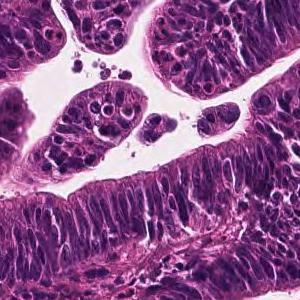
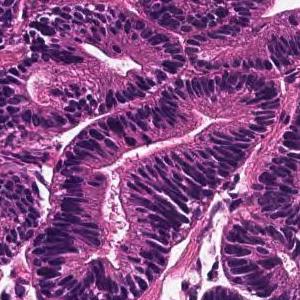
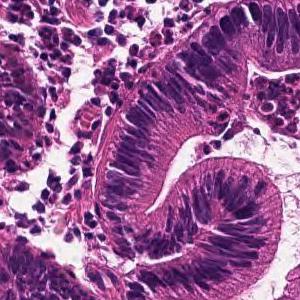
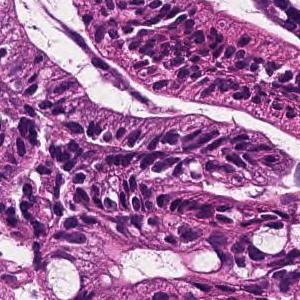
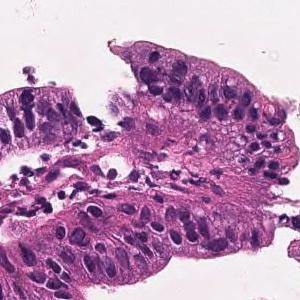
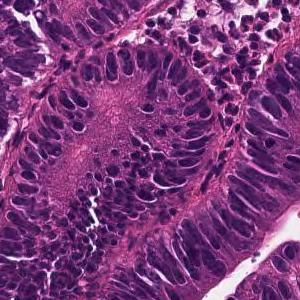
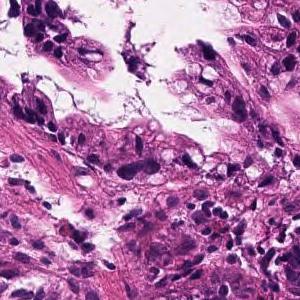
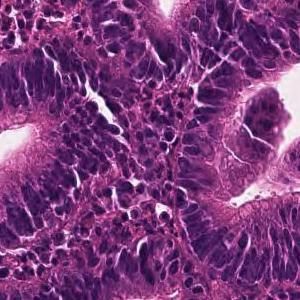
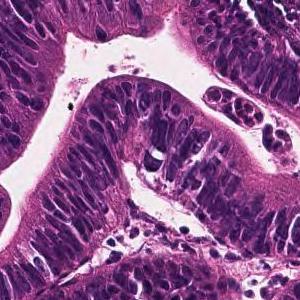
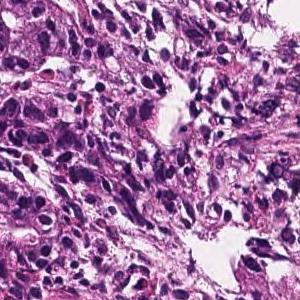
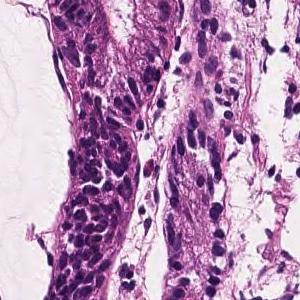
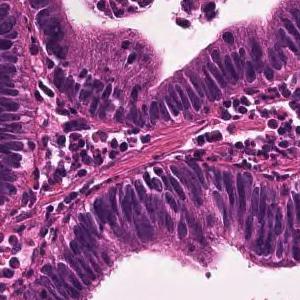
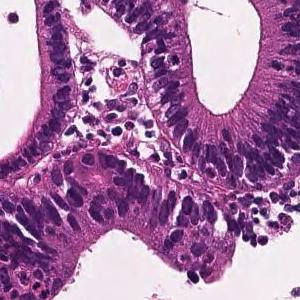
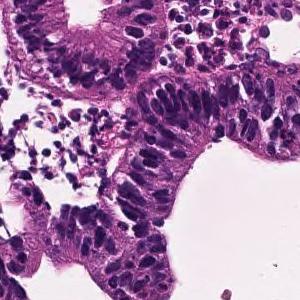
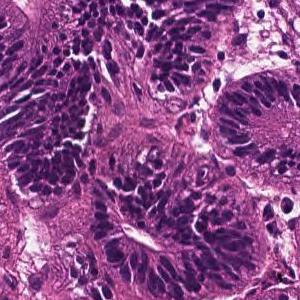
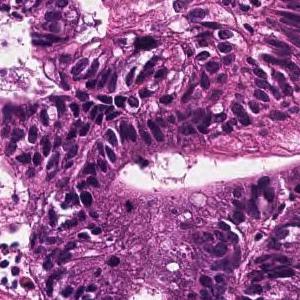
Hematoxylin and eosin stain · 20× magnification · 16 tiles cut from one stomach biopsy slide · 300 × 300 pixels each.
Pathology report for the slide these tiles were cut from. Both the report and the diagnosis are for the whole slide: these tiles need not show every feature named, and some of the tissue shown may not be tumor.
A large irregular tubular structure is exhibited in the epithelium, and tumor tissue that partially fuses and infiltrates and proliferates is observed. Large columnar tumor cells exhibit enlarged nucleus, hyperchromatism, and mitotic figures. Well differentiated tubular adenocarcinoma
